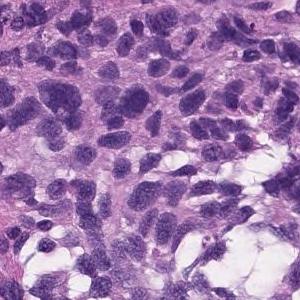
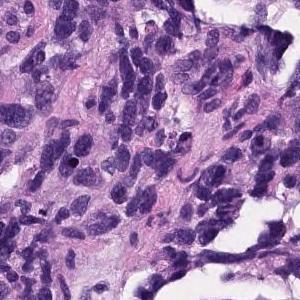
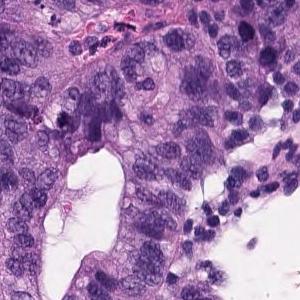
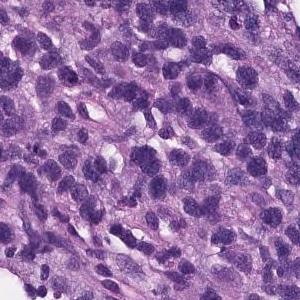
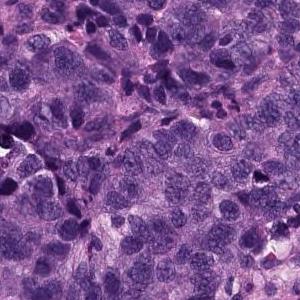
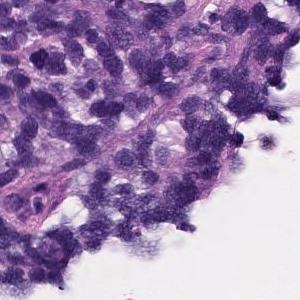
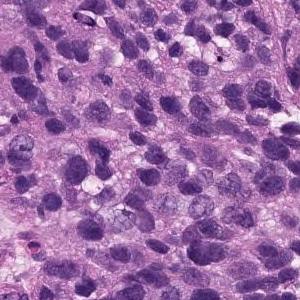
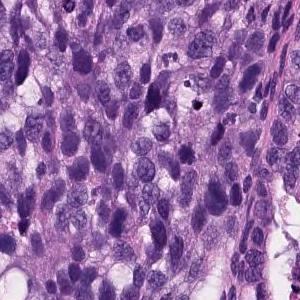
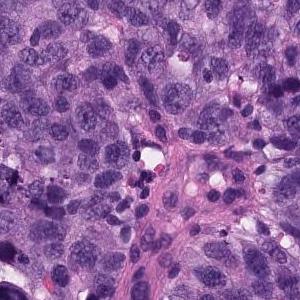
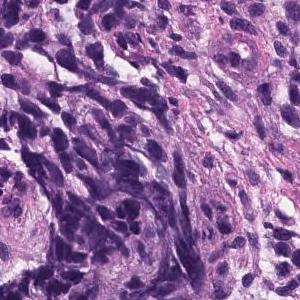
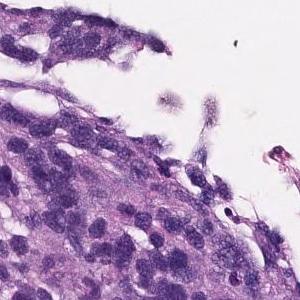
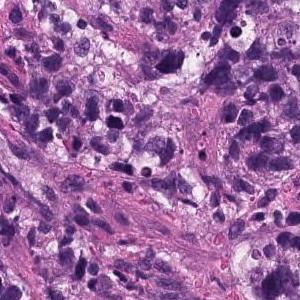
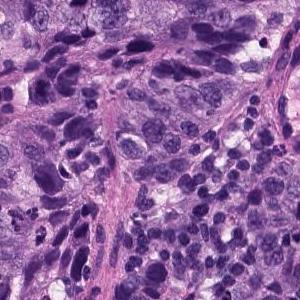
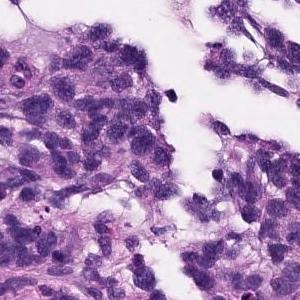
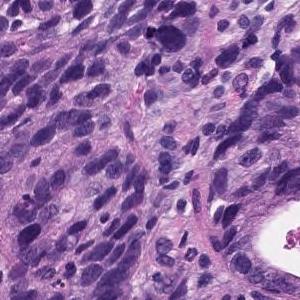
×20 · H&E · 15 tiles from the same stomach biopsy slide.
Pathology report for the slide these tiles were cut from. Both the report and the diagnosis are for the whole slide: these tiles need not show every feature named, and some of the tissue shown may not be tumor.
Atypical l cells with atypical nuclei under the mucosa growing in isolation and scattered. Poorly differentiated adenocarcinoma (poorly differentiated adenocarcinoma, non-solid type)
Histological subtype: Poorly differentiated adenocarcinoma, non-solid type.
The non-solid type named here is a Japanese Classification of Gastric Carcinoma category.
